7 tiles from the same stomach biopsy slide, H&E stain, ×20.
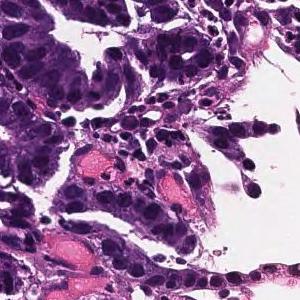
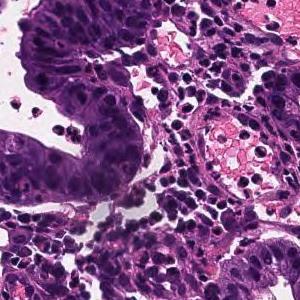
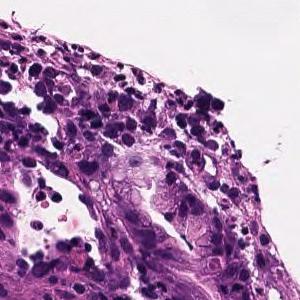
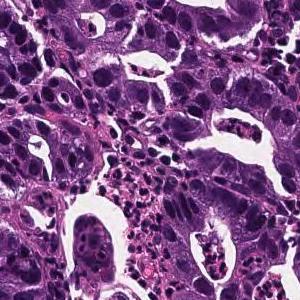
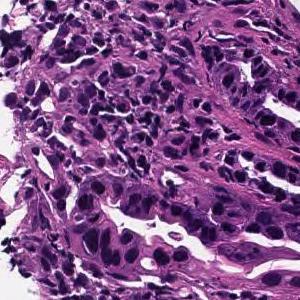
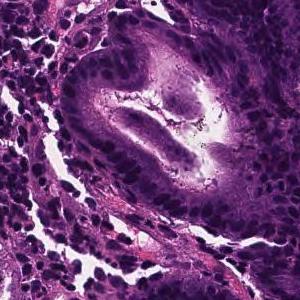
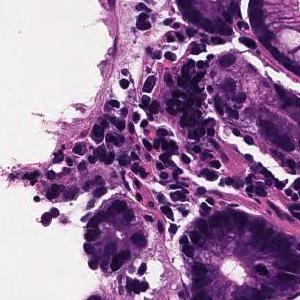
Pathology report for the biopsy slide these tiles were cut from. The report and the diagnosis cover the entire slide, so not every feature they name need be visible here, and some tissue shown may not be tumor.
From the superficial epithelium to the muscularis mucosae, tumor tissue consisting of medium-sized and irregular glandular ducts infiltrating is observed. Well differentiated tubular adenocarcinoma
